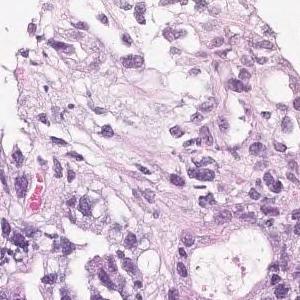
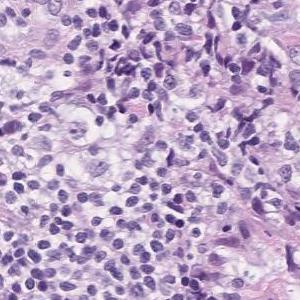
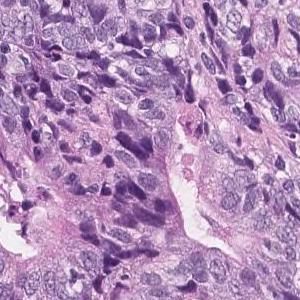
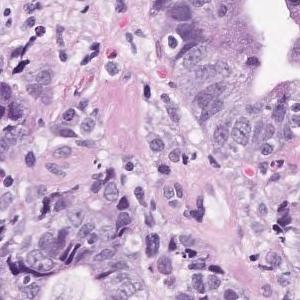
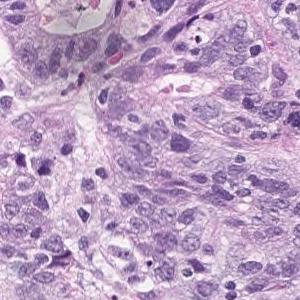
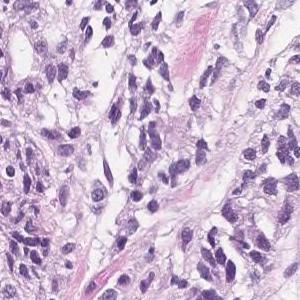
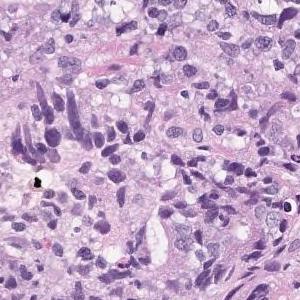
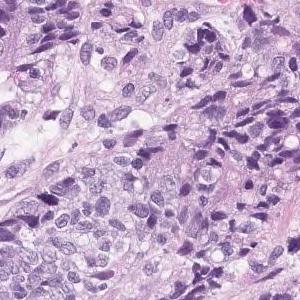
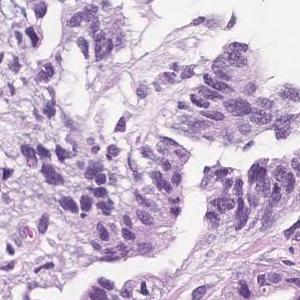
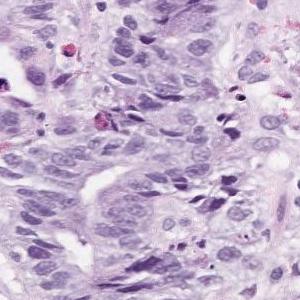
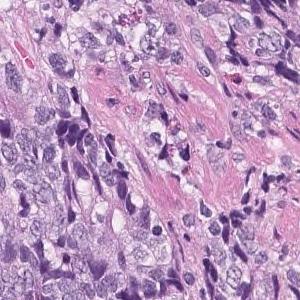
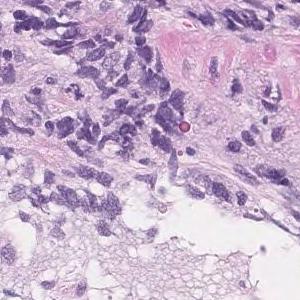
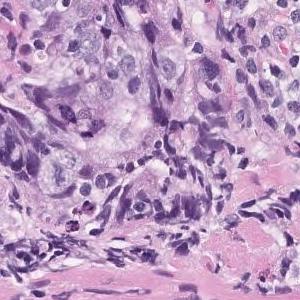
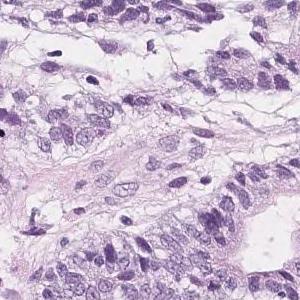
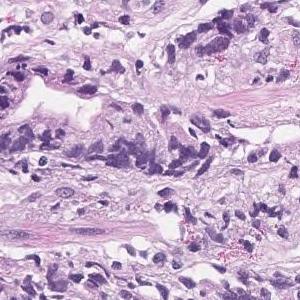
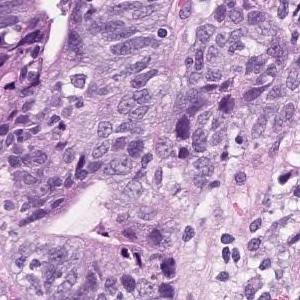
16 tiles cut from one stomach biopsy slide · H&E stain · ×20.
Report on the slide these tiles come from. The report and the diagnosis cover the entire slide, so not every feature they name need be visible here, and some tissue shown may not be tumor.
Highly columnar epithelium with disordered nuclear localization proliferates showing fusion ductal construction. moderately differentiated tubular adenocarcinoma
